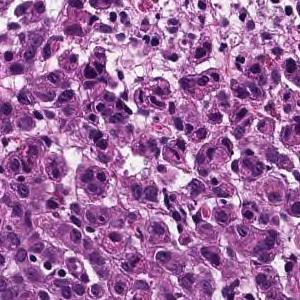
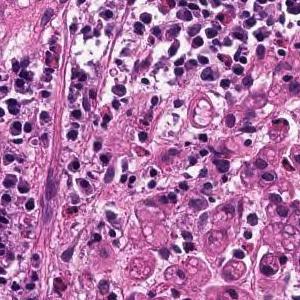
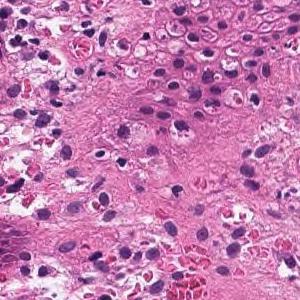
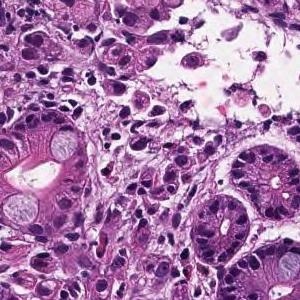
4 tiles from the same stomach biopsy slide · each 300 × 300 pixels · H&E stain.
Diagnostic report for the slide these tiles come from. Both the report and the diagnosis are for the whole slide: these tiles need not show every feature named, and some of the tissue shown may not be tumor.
Tumor tissue consisting of cord-like or small, irregular glandular ducts fused and infiltrated is observed in the superficial epithelium. Poorly differentiated adenocarcinoma, non-solid type
The term "non-solid type" comes from the Japanese Classification of Gastric Carcinoma.
